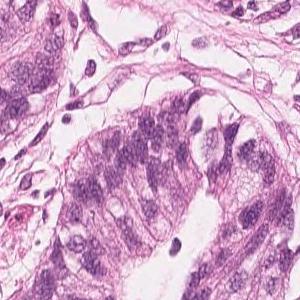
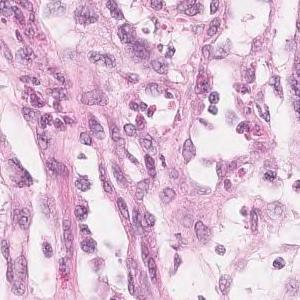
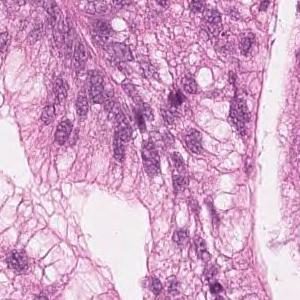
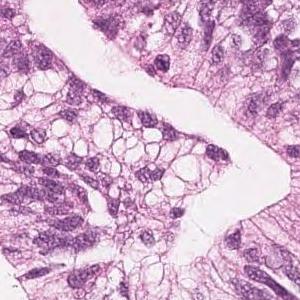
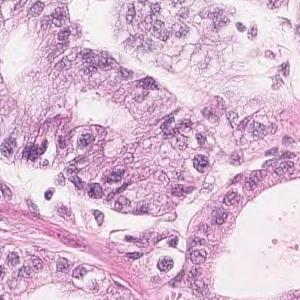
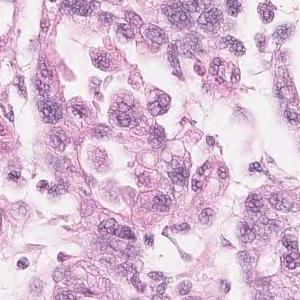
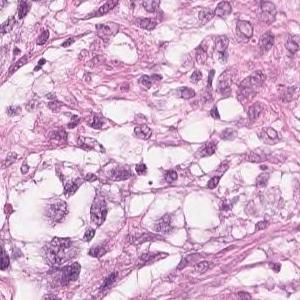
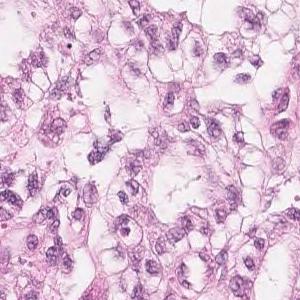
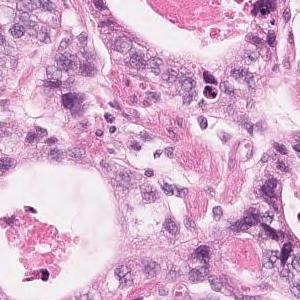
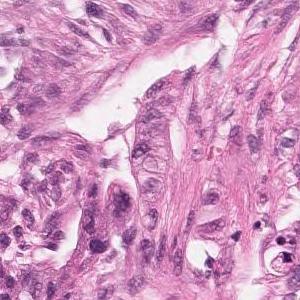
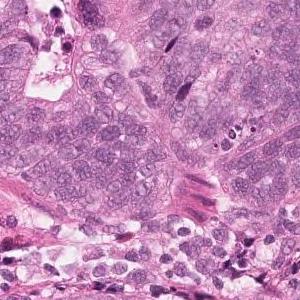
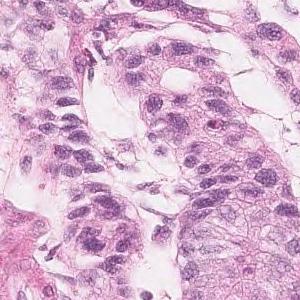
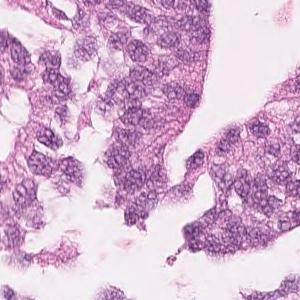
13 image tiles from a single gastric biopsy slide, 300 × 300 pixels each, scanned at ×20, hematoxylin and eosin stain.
The pathologist's report on the biopsy slide these tiles were taken from. The report describes the whole slide, diagnosis included: not every finding it names need appear in these tiles, which may also show non-tumor tissue.
Highly columnar epithelium with disordered nuclear localization proliferates showing fusion ductal construction. moderately differentiated tubular adenocarcinoma
